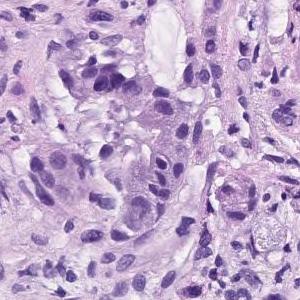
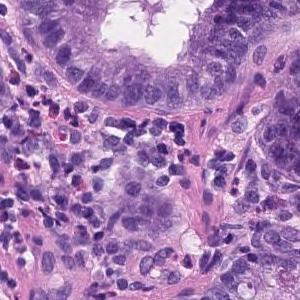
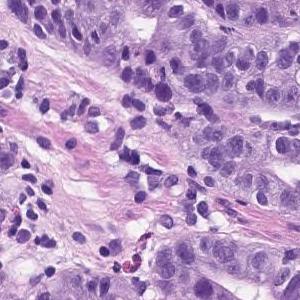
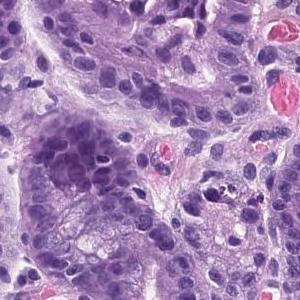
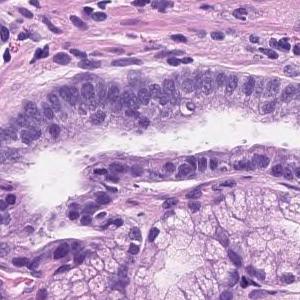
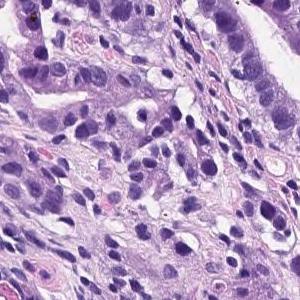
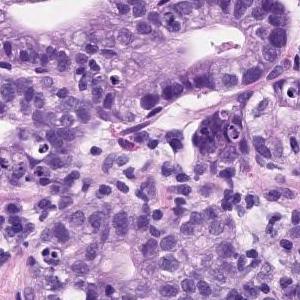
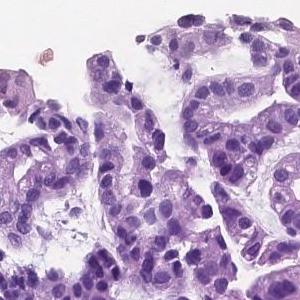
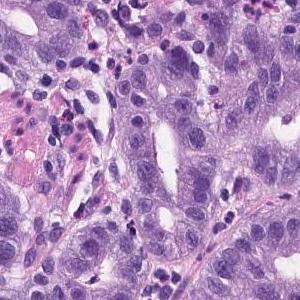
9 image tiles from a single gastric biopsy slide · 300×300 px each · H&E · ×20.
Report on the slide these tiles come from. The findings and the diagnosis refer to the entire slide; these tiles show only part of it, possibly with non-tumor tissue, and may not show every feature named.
Tumor tissue consisting of medium-sized and irregular ducts is observed infiltrating in the superficial epithelium. Tumor cells are highly columnar, with nuclei aligned basolaterally and polarized. Well differentiated tubular adenocarcinoma.
